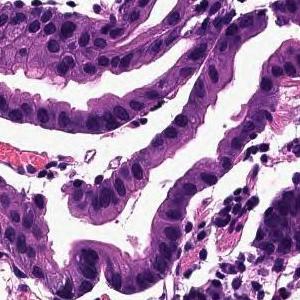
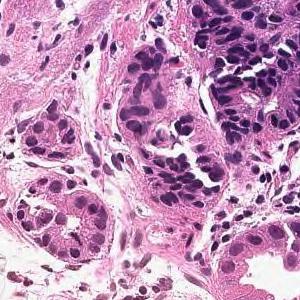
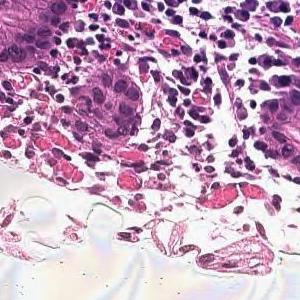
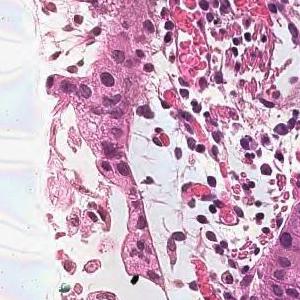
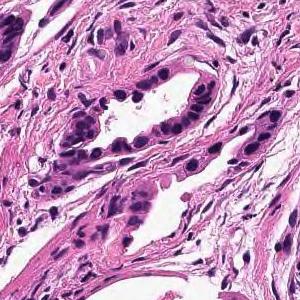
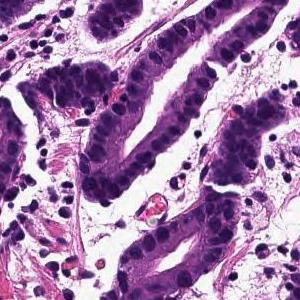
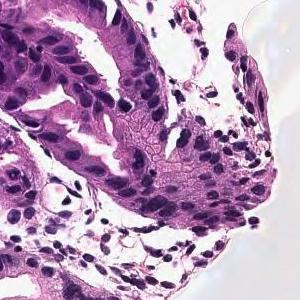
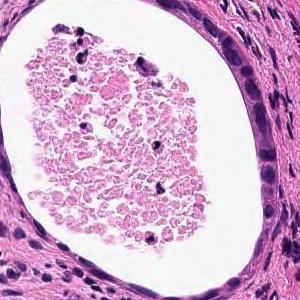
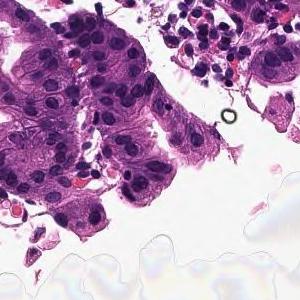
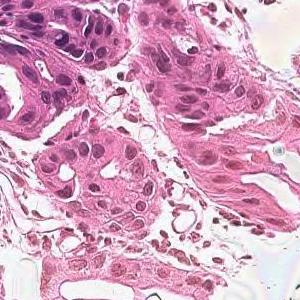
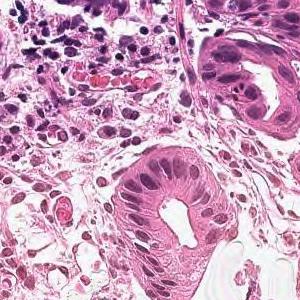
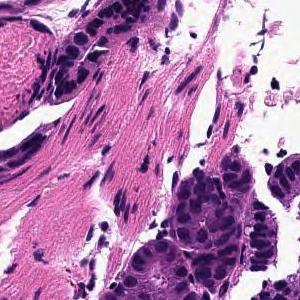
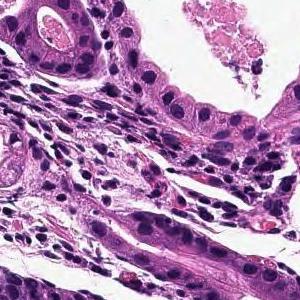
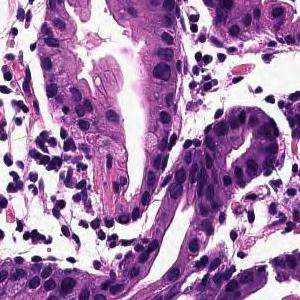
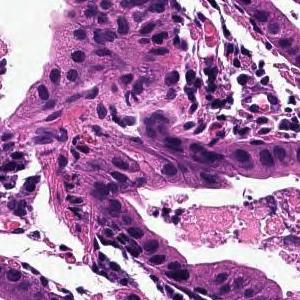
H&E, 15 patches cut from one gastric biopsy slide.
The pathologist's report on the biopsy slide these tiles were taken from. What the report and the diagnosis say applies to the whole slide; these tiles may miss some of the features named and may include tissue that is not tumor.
From the superficial epithelium to the muscularis mucosae, tumor tissue consisting of medium-sized and irregular glandular ducts infiltrating is observed. Well differentiated tubular adenocarcinoma
